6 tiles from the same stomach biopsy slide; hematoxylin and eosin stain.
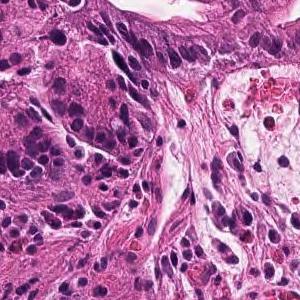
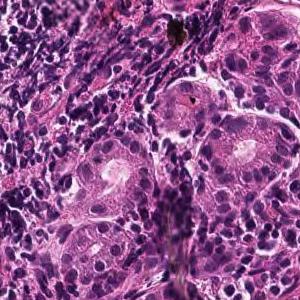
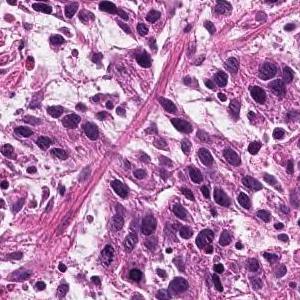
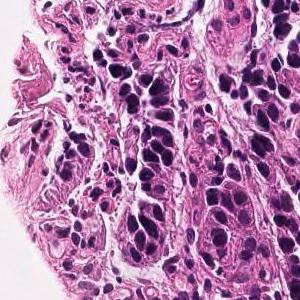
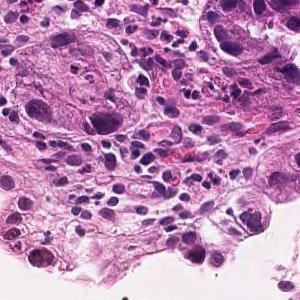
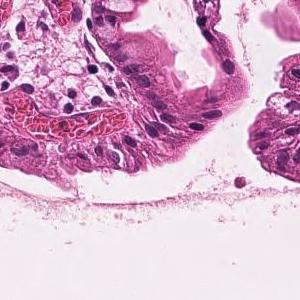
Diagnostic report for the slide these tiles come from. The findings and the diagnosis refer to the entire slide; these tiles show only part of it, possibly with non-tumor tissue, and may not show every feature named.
Tumor tissue consisting of medium-sized, cord-like or irregular glandular infiltration is observed in the superficial epithelium. Poorly differentiated adenocarcinoma, non-solid type or moderately differentiated tubular adenocarcinoma
Classified as moderately to poorly differentiated adenocarcinoma.
The term "non-solid type" comes from the Japanese Classification of Gastric Carcinoma.
